15 tiles cut from one stomach biopsy slide, ×20, H&E.
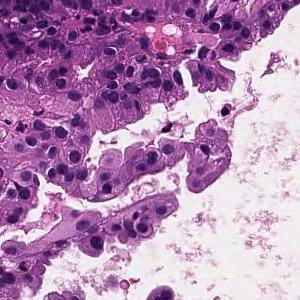
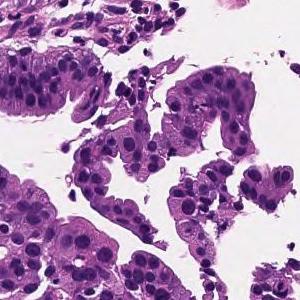
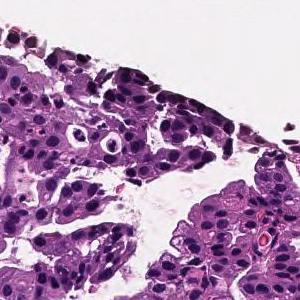
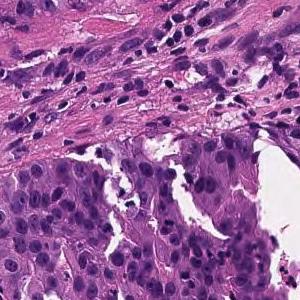
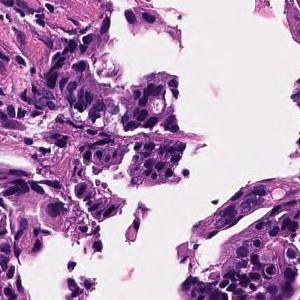
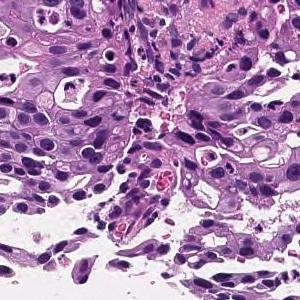
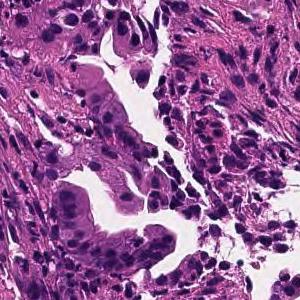
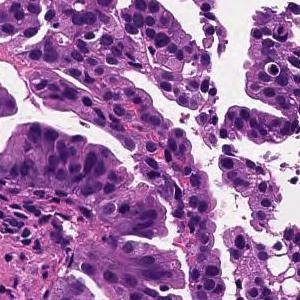
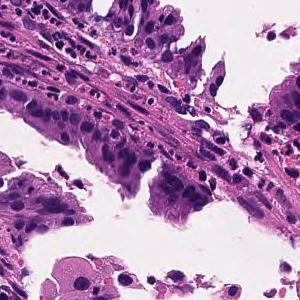
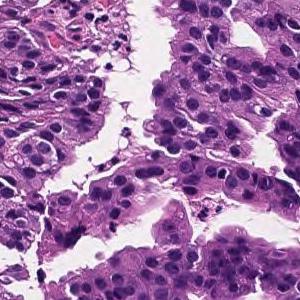
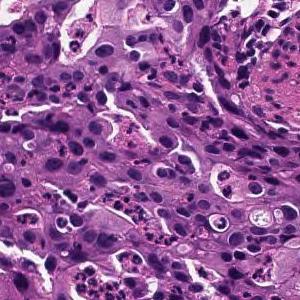
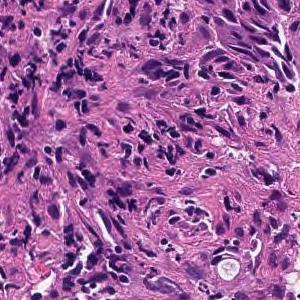
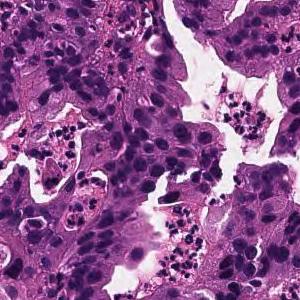
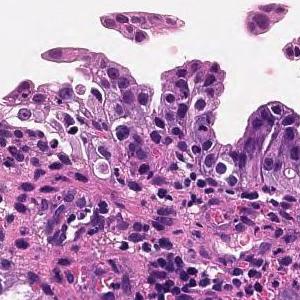
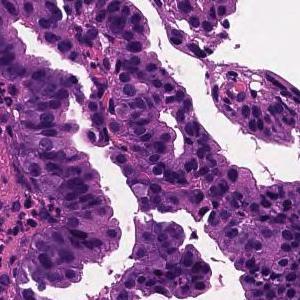
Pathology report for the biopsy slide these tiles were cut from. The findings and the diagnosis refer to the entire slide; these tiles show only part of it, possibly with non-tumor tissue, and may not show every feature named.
On the superficial epithelium, tumor tissue consisting of large, irregular glandular ducts partially fused and infiltrated is observed. Well to moderately differentiated tubular adenocarcinoma (well differentiated tubular adenocarcinoma, moderately differentiated tubular adenocarcinoma)
Histological subtype: Well to moderately differentiated tubular adenocarcinoma.
